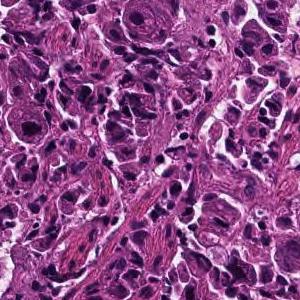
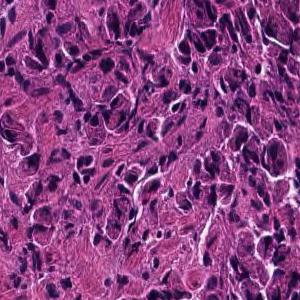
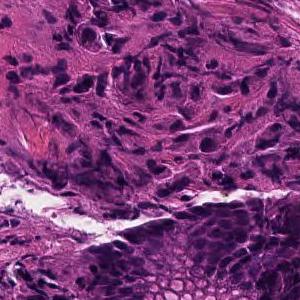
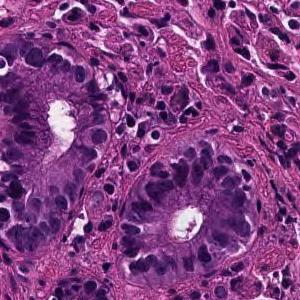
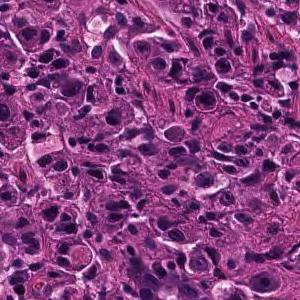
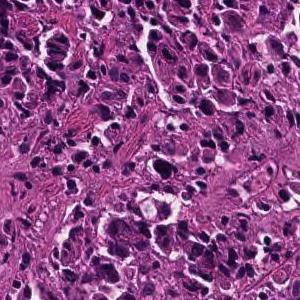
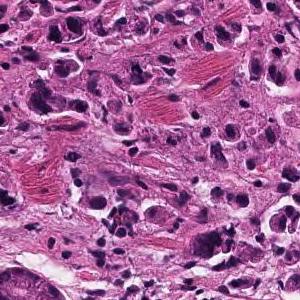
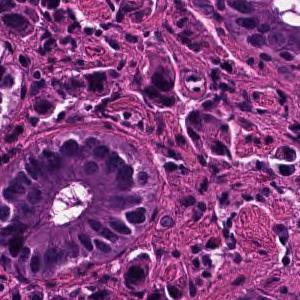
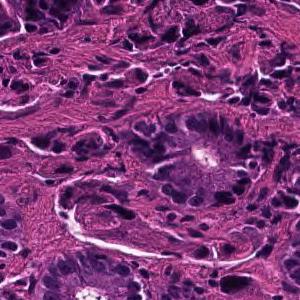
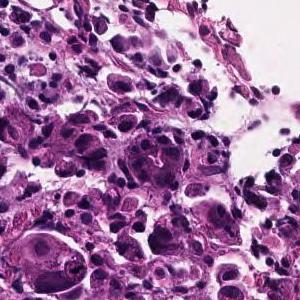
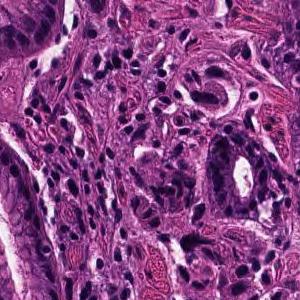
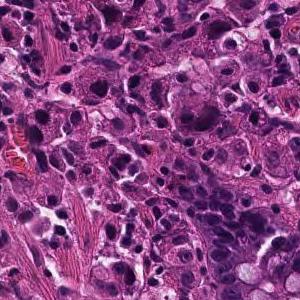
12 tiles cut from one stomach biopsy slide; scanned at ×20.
Pathology report for the slide these tiles were cut from. The report and the diagnosis describe the slide as a whole, so these tiles may not show every feature named and may include non-tumor tissue.
Tumor tissue consisting of cord-like or small, irregular glandular ducts fused and infiltrated is observed in the superficial epithelium. Poorly differentiated adenocarcinoma, non-solid type
The term "non-solid type" comes from the Japanese Classification of Gastric Carcinoma.
